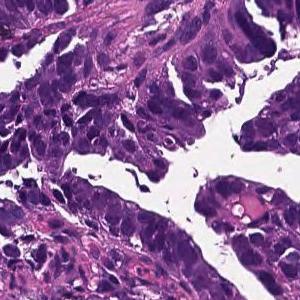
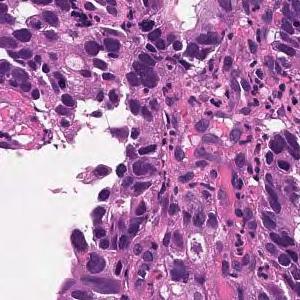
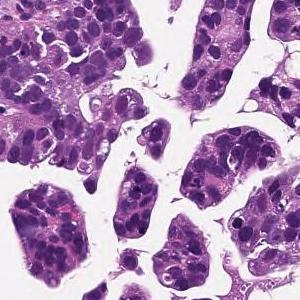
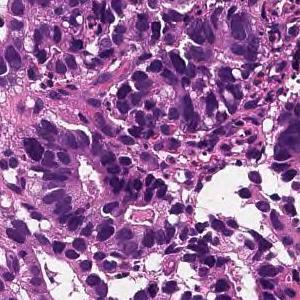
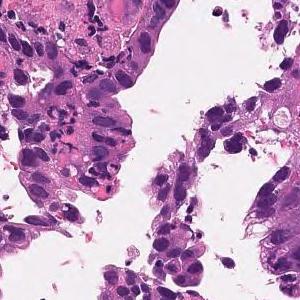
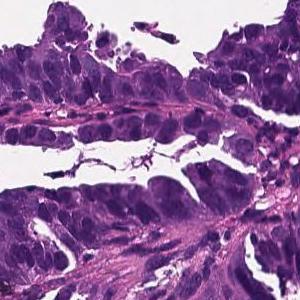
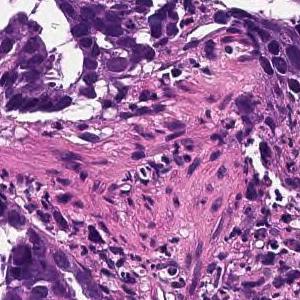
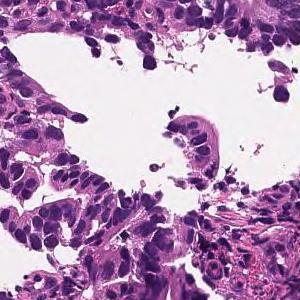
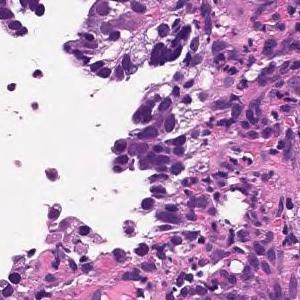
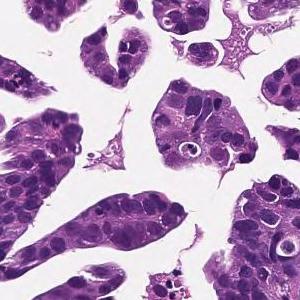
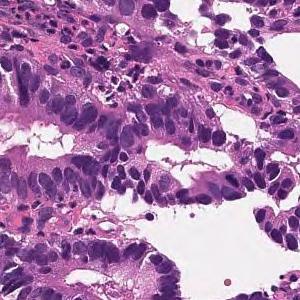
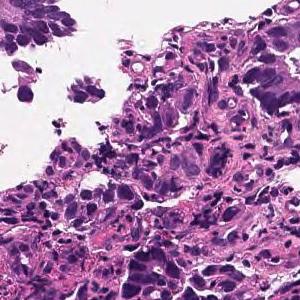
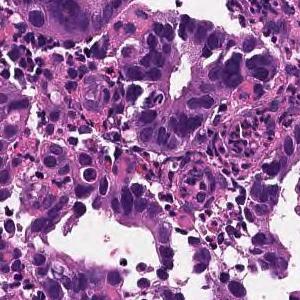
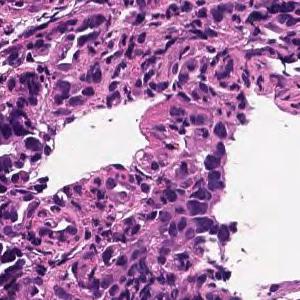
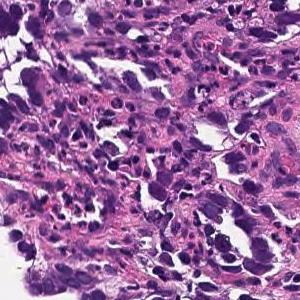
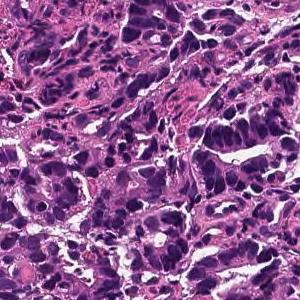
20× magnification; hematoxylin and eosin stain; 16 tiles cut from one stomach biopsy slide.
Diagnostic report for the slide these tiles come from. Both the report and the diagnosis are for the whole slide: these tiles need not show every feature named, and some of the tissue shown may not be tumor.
Tumor cells are large, highly columnar, large club-shaped nuclei, and are associated with chromatin aggregation. Papillary adenocarcinoma.
